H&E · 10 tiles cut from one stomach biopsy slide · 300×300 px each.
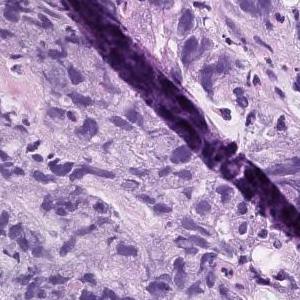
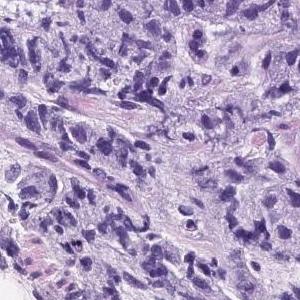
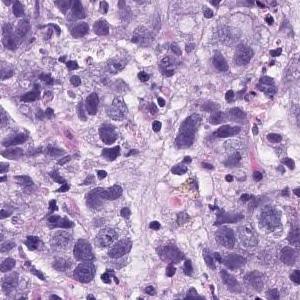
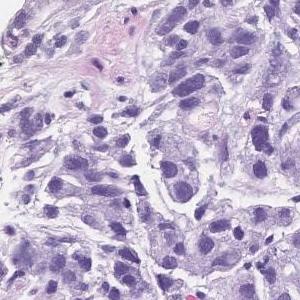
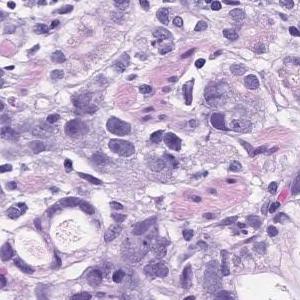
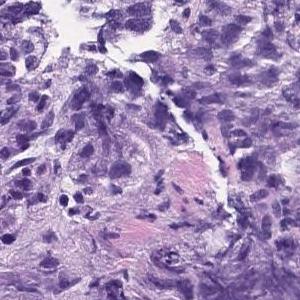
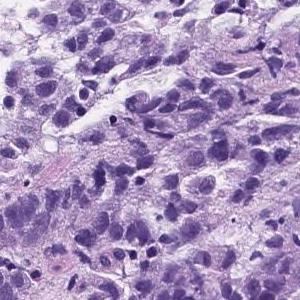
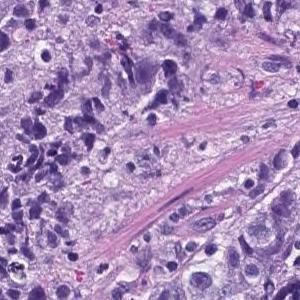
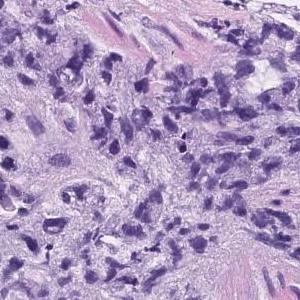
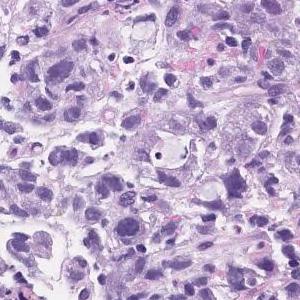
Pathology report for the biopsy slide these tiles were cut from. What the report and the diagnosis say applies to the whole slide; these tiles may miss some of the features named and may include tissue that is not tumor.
Atypical l cells with atypical nuclei forming solid vesicles or small irregular atypical ducts that proliferate in a complex manner. poorly differentiated adenocarcinoma, solid type, moderately differentiated tubular adenocarcinoma
"Solid type" is a category of the Japanese Classification of Gastric Carcinoma; in the WHO 2019 classification it is tubular adenocarcinoma, poorly differentiated.
